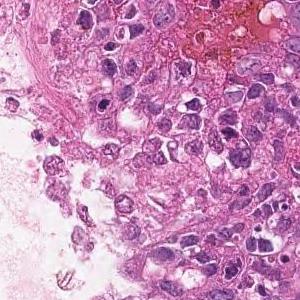
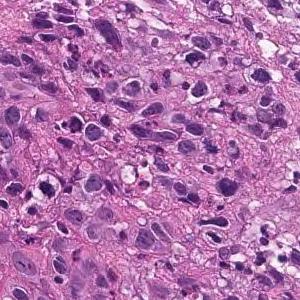
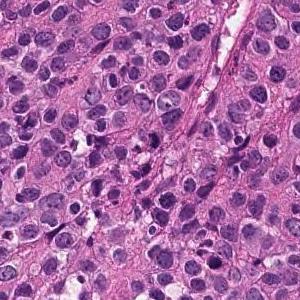
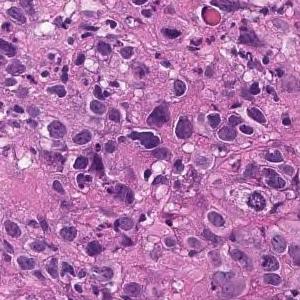
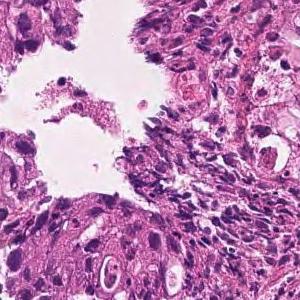
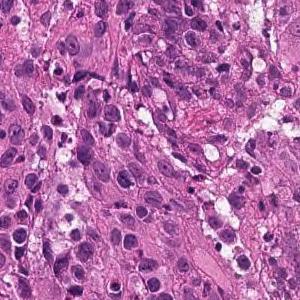
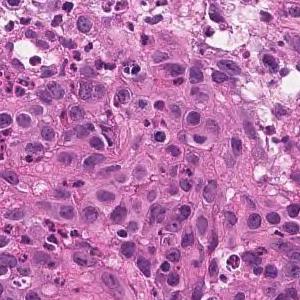
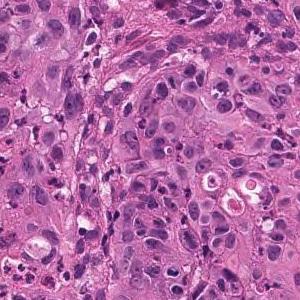
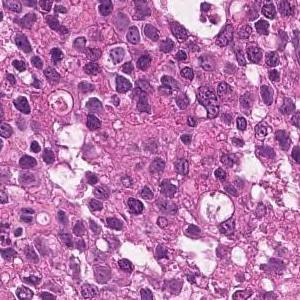
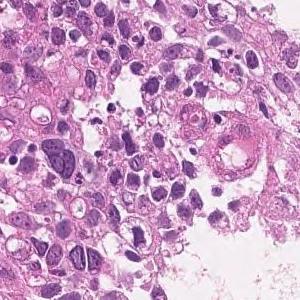
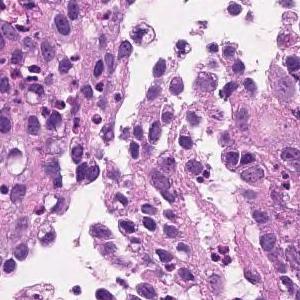
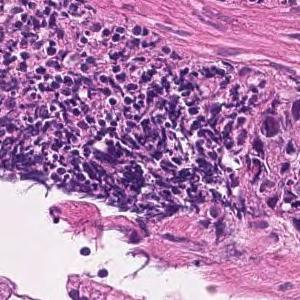
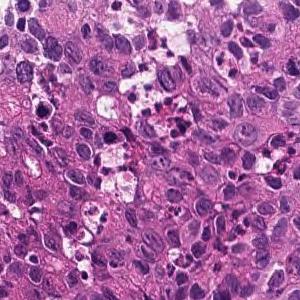
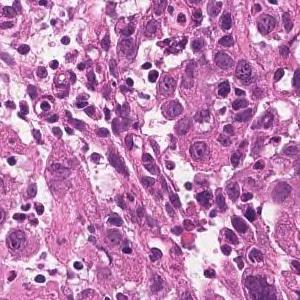
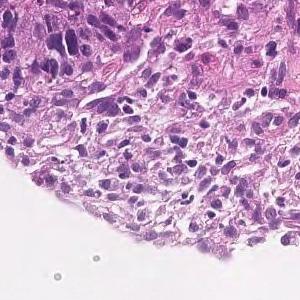
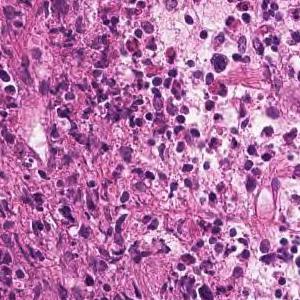
Hematoxylin and eosin stain; 16 tiles cut from one stomach biopsy slide.
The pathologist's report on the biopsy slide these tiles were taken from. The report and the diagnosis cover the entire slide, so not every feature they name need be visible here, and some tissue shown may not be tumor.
The superficial epithelium shows a large sheet-like shape, and some tumor tissue infiltrates with small irregular ducts. Poorly differentiated adenocarcinoma, solid-type
Subtype: Poorly differentiated adenocarcinoma, solid type. This name comes from the Japanese Classification of Gastric Carcinoma; the WHO 2019 classification calls it tubular adenocarcinoma, poorly differentiated.
